20× magnification; H&E stain; 15 image tiles from a single gastric biopsy slide; 300×300 px each.
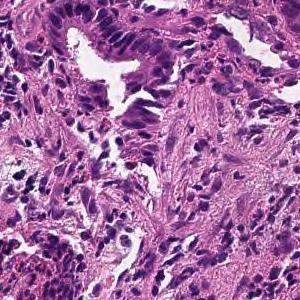
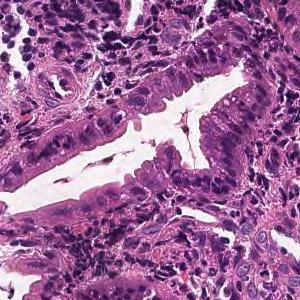
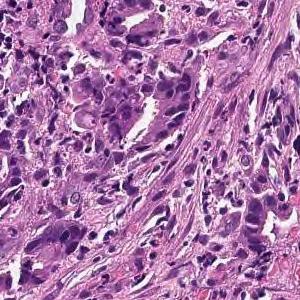
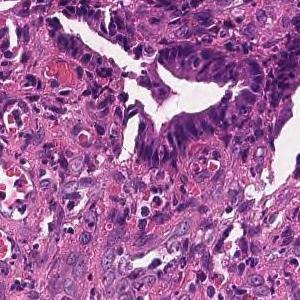
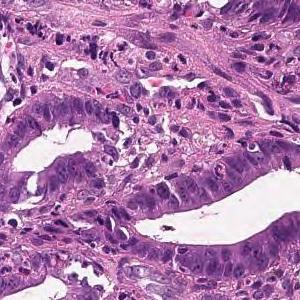
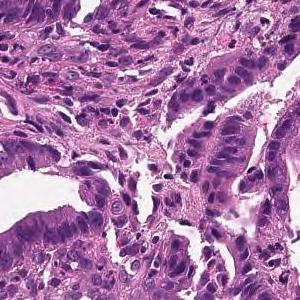
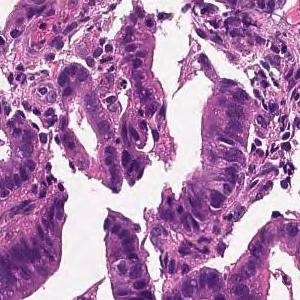
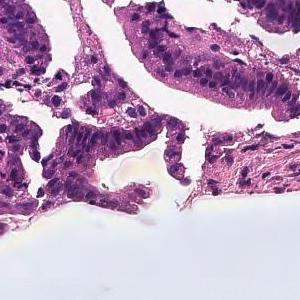
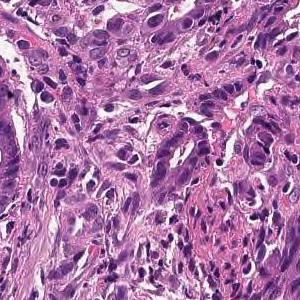
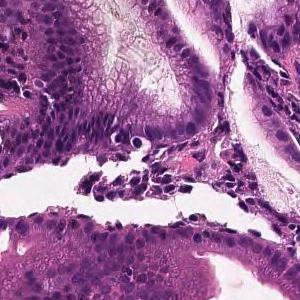
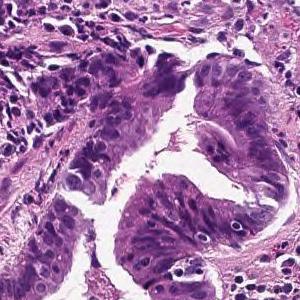
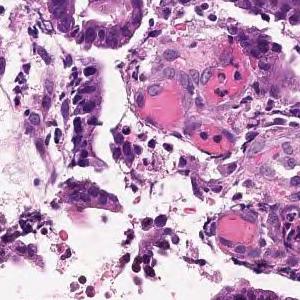
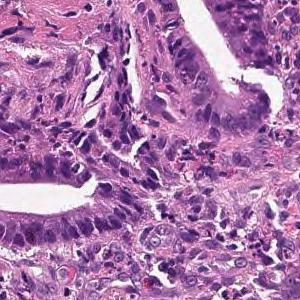
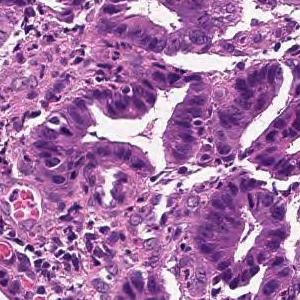
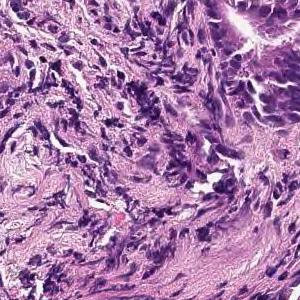
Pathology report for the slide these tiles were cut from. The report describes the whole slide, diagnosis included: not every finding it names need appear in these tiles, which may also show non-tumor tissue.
From the superficial epithelium to the muscularis mucosae, tumor tissue consisting of medium-sized and irregular glandular ducts infiltrating is observed. Well differentiated tubular adenocarcinoma
